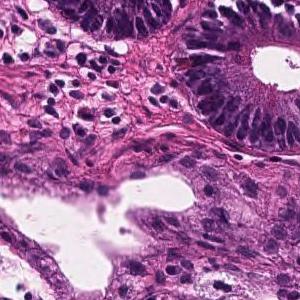
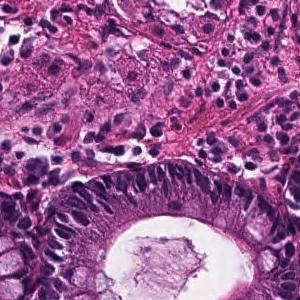
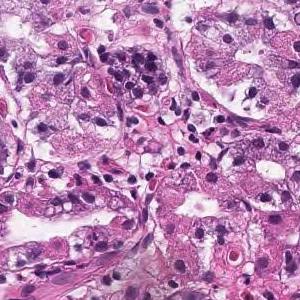
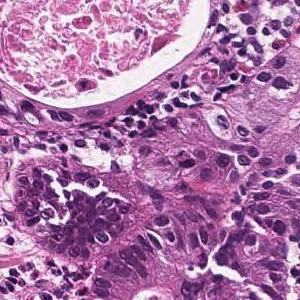
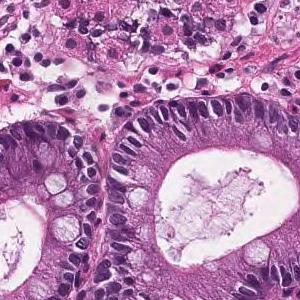
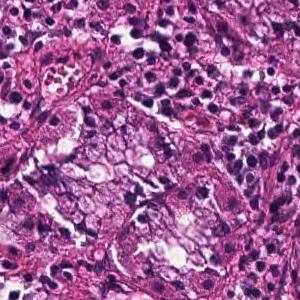
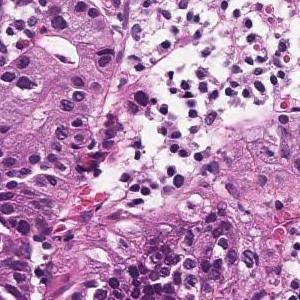
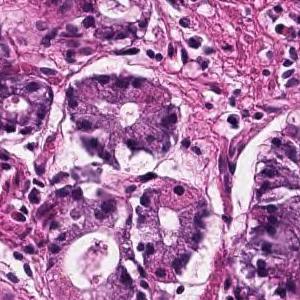
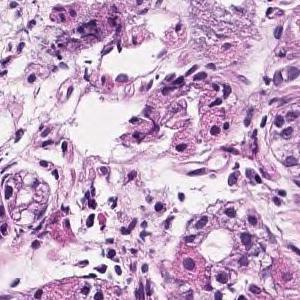
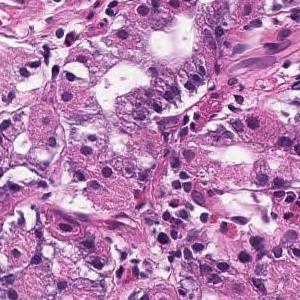
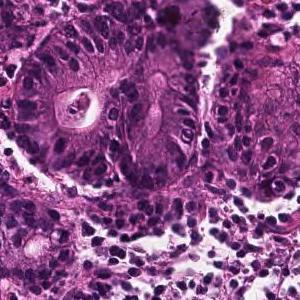
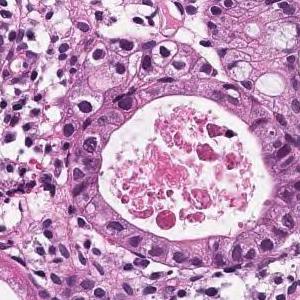
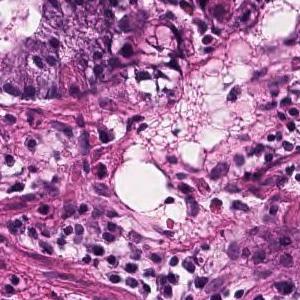
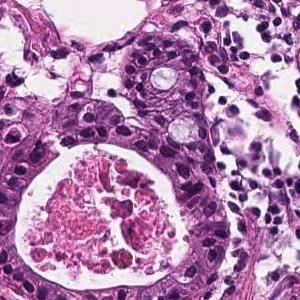
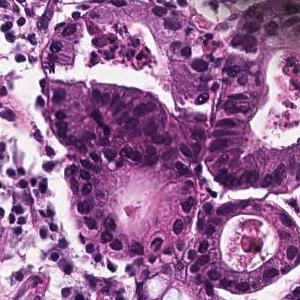
15 patches cut from one gastric biopsy slide · each 300 × 300 pixels · ×20 · hematoxylin and eosin stain.
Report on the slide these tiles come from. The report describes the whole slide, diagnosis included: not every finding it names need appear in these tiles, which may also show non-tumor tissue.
Tumor tissue in which medium to small irregular ducts infiltrate and proliferate in the submucosa can be seen in the epithelium. Well differentiated tubular adenocarcinoma
